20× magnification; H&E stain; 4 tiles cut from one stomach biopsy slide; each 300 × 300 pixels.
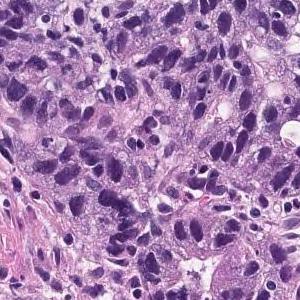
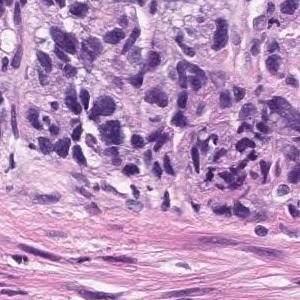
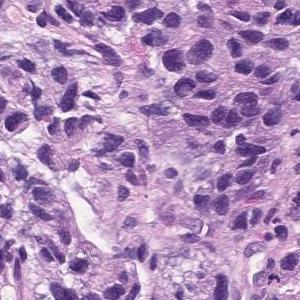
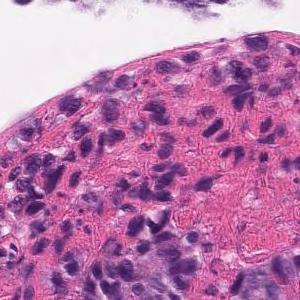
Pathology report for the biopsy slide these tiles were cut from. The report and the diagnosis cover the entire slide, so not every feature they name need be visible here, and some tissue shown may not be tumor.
Medium to small, irregular glandular ducts are formed in the superficial epithelium, and in some cases, the glandular ducts are fused to show solid alveolar lesions and infiltrating tumor tissue is observed. Moderately to poorly differentiated adenocarcinoma.
